20× magnification, 10 patches cut from one gastric biopsy slide, 300×300 px each.
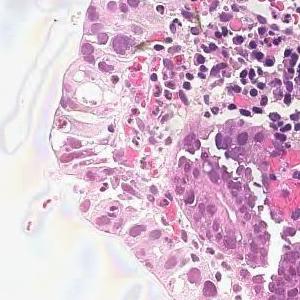
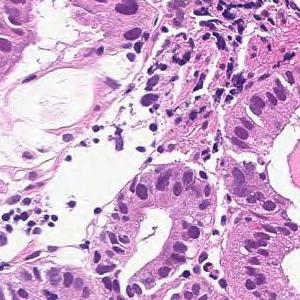
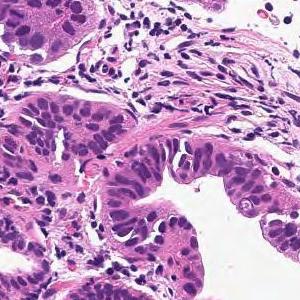
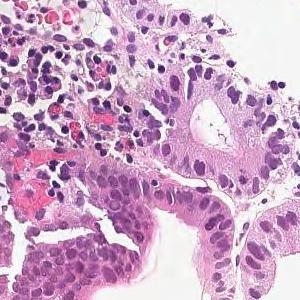
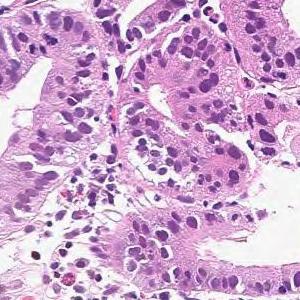
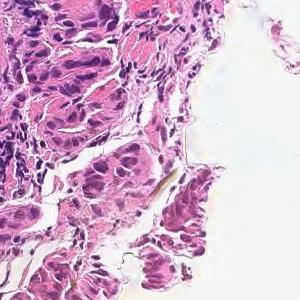
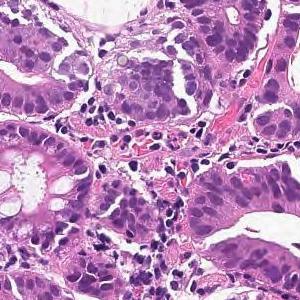
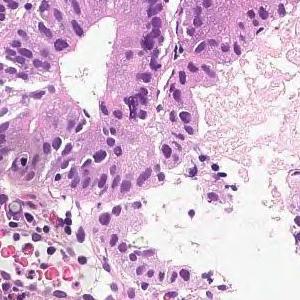
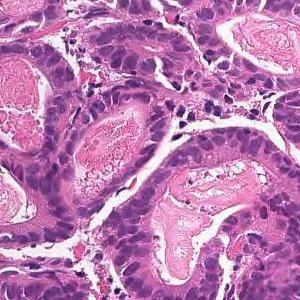
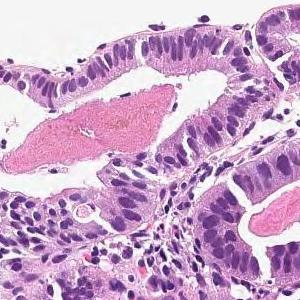
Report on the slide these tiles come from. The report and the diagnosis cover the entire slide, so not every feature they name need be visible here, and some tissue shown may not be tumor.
From the superficial epithelium to the muscularis mucosae, tumor tissue consisting of medium-sized and irregular glandular ducts infiltrating is observed. Well differentiated tubular adenocarcinoma
